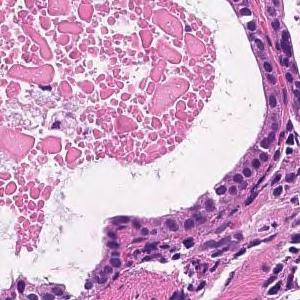
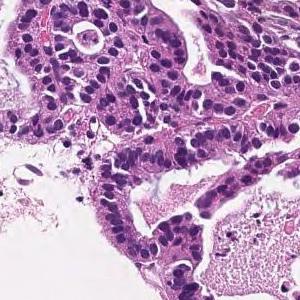
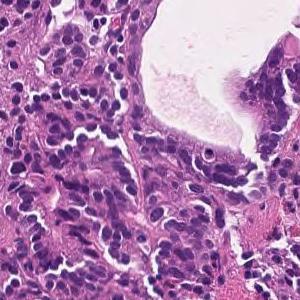
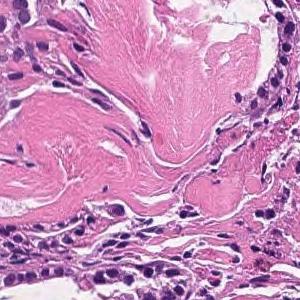
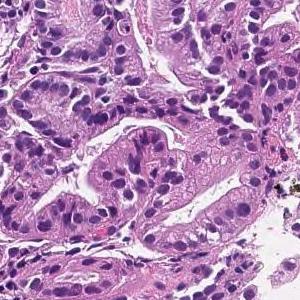
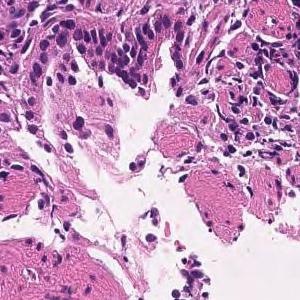
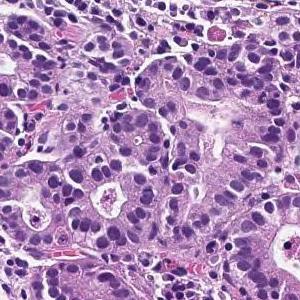
H&E, 7 tiles from the same stomach biopsy slide.
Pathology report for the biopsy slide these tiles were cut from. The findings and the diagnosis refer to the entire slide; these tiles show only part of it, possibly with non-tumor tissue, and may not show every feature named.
On the superficial epithelium, tumor tissue that infiltrates by forming medium-sized papillary or small irregular ducts is observed. Papillary adenocarcinoma (Papillary adenocarcinoma)
Histological subtype: Papillary adenocarcinoma.
